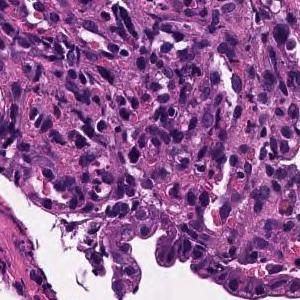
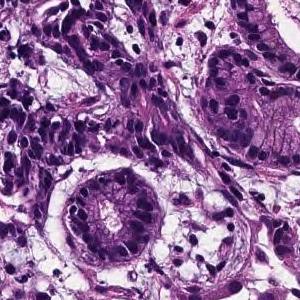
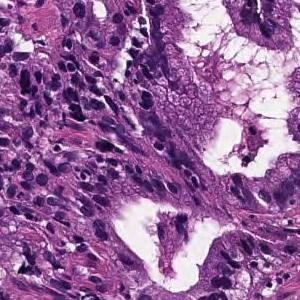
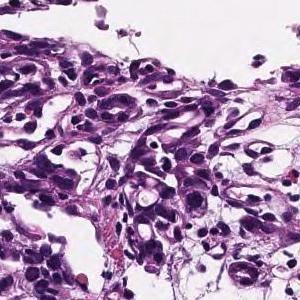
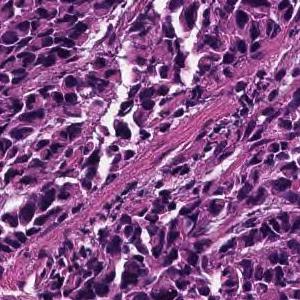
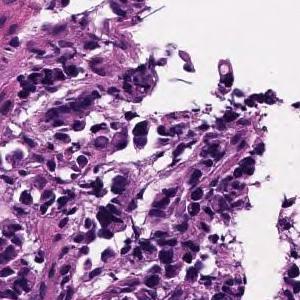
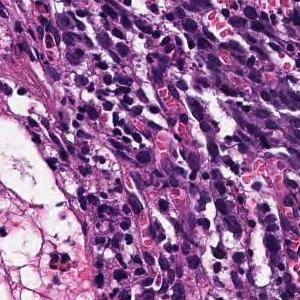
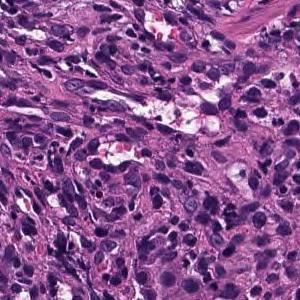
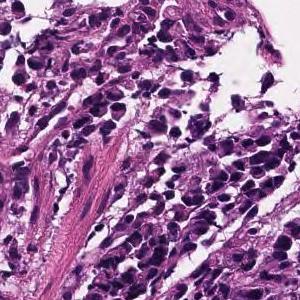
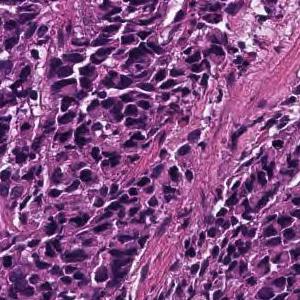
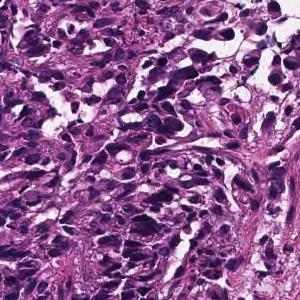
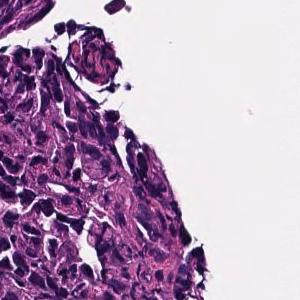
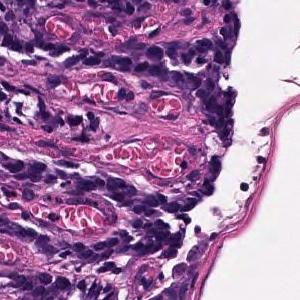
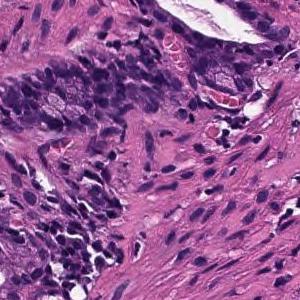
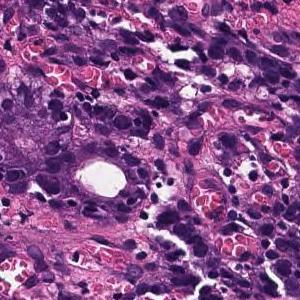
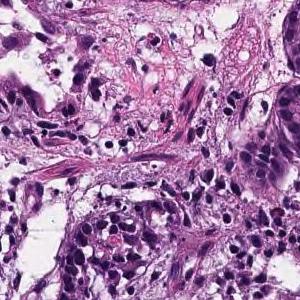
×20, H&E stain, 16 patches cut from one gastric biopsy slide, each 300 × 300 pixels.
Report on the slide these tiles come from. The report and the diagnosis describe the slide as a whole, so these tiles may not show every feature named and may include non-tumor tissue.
Poorly differentiated, solid adenocarcinoma (poorly differentiated adenocarcinoma, solid type) with tumor tissue diffusely infiltrated with atypical epithelial cells
Tumor subtype: poorly differentiated adenocarcinoma, solid type (Japanese Classification of Gastric Carcinoma). The WHO 2019 equivalent is tubular adenocarcinoma, poorly differentiated.
